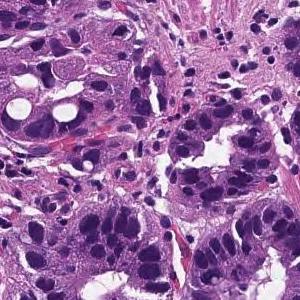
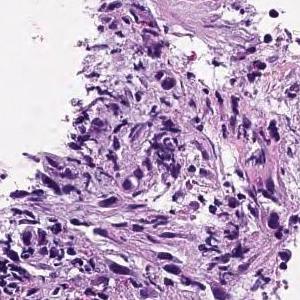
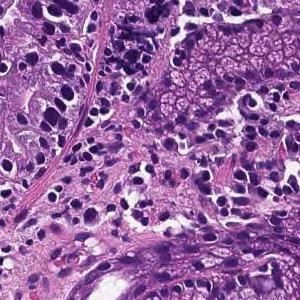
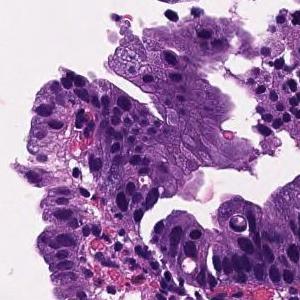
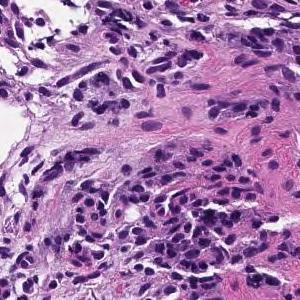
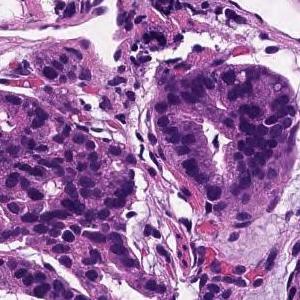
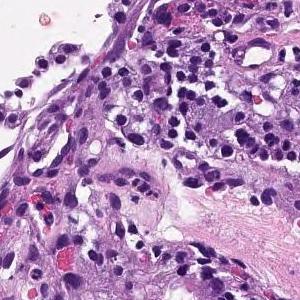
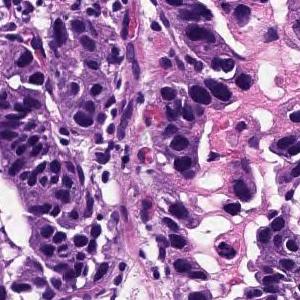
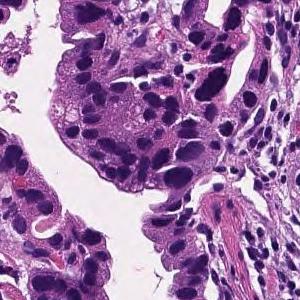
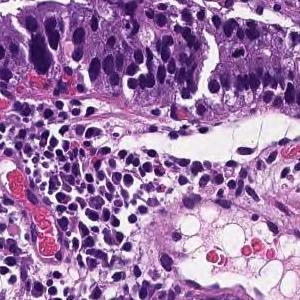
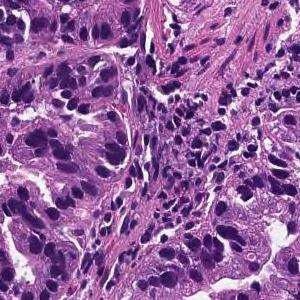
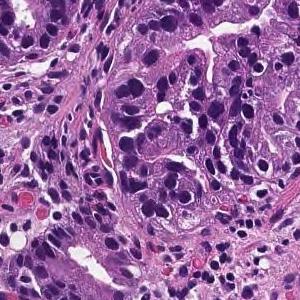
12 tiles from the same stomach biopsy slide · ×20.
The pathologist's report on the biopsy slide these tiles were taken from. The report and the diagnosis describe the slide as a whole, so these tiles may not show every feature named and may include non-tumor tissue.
From the superficial epithelium to the muscularis mucosae, tumor tissue consisting of medium-sized and irregular glandular ducts infiltrating is observed. Well differentiated tubular adenocarcinoma
